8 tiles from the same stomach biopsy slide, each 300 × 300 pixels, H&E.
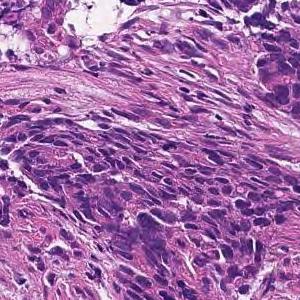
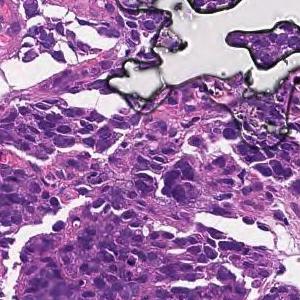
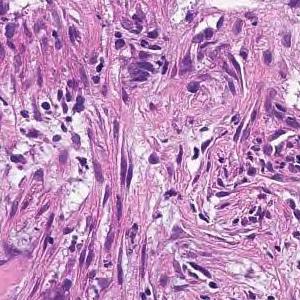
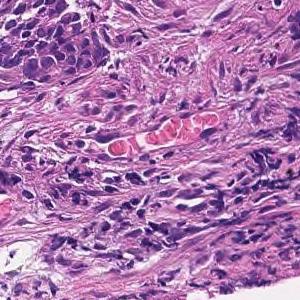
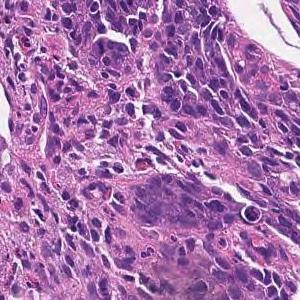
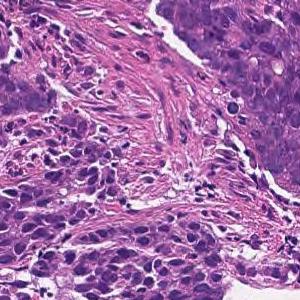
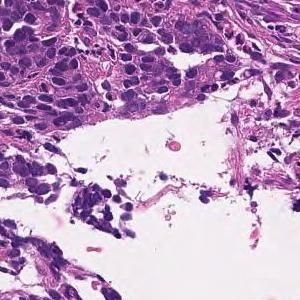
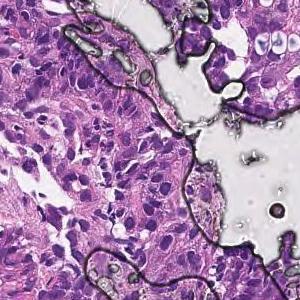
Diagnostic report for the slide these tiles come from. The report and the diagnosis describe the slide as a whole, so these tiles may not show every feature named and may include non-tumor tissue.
Tumor tissue consisting of cord-like or small, irregular glandular ducts fused and infiltrated is observed in the superficial epithelium. Poorly differentiated adenocarcinoma, non-solid type
The non-solid type named here is a Japanese Classification of Gastric Carcinoma category.
